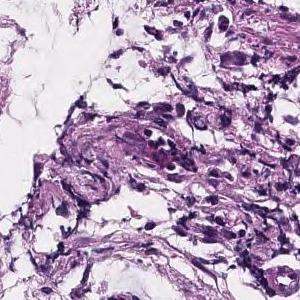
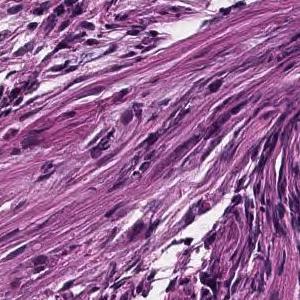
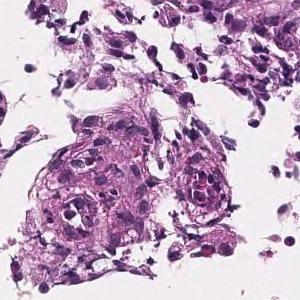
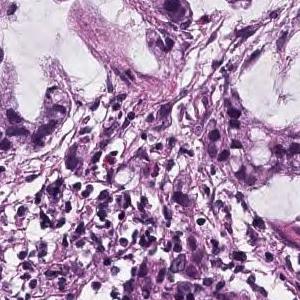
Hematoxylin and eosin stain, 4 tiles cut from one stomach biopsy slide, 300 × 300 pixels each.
The pathologist's report on the biopsy slide these tiles were taken from. The report and the diagnosis cover the entire slide, so not every feature they name need be visible here, and some tissue shown may not be tumor.
Atypical epithelial cells form obscure ductal structures or small solid follicles, and tumor tissue that proliferates invasively with proliferation of inflammatory granulation tissue is observed. Mucinous adenocarcinoma .
